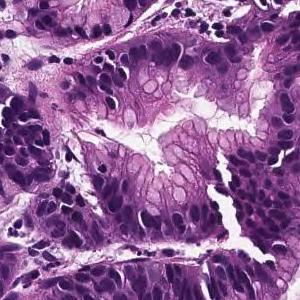
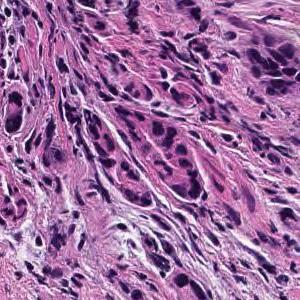
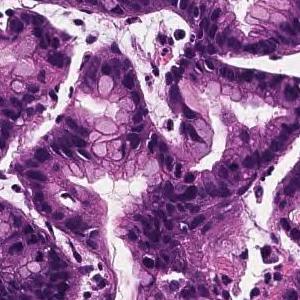
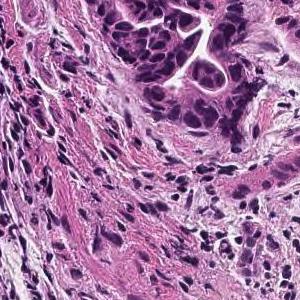
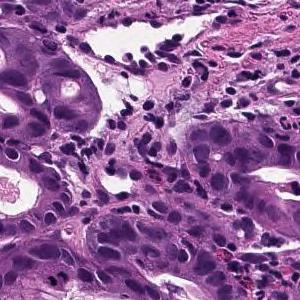
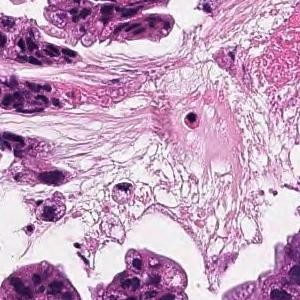
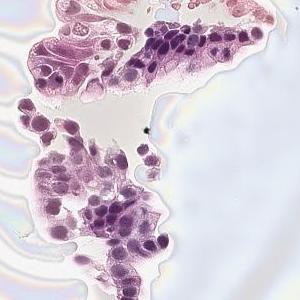
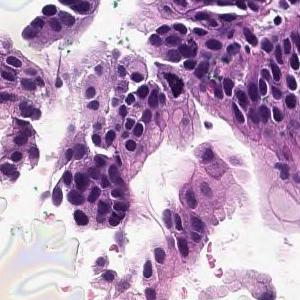
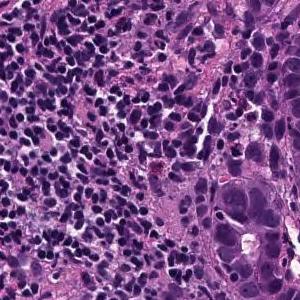
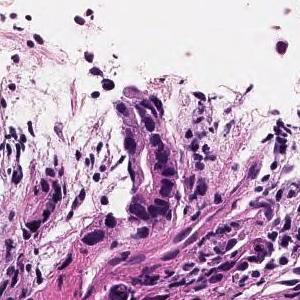
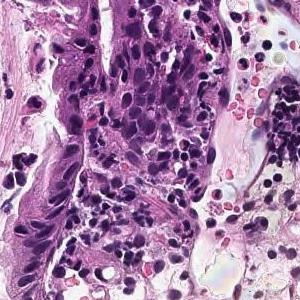
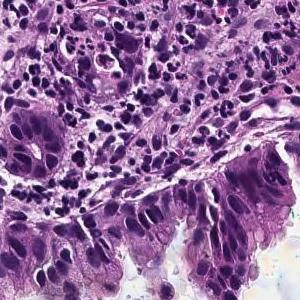
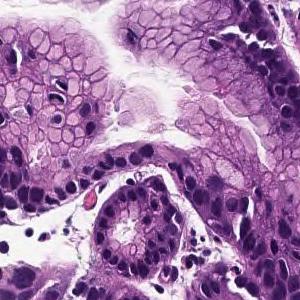
13 tiles from the same stomach biopsy slide, hematoxylin and eosin stain, ×20.
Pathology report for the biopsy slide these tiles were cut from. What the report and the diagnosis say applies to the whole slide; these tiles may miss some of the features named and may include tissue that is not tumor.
Tumor cells are large, highly columnar, large club-shaped nuclei, and are associated with chromatin aggregation. Papillary adenocarcinoma.
